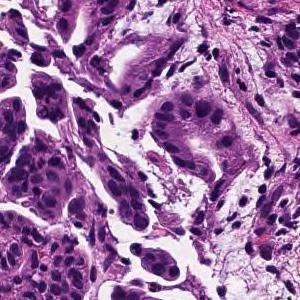
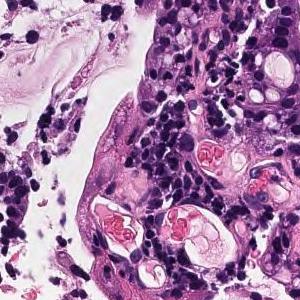
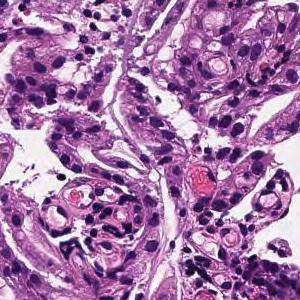
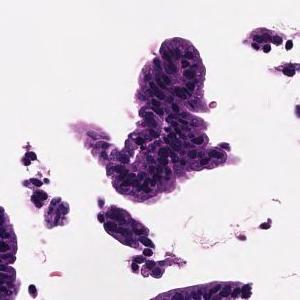
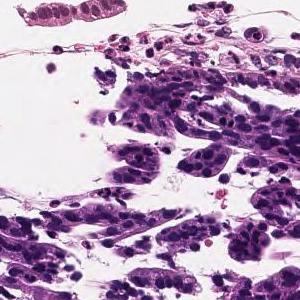
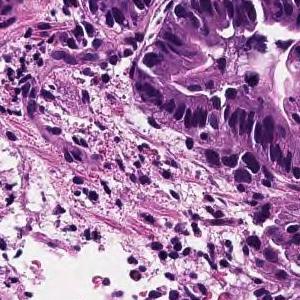
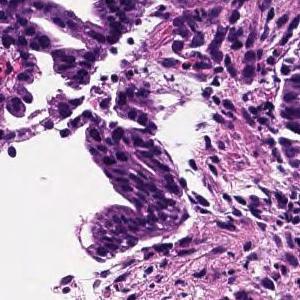
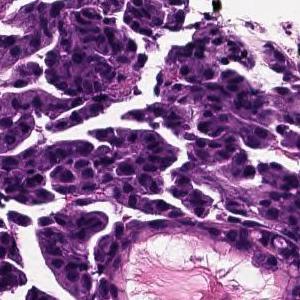
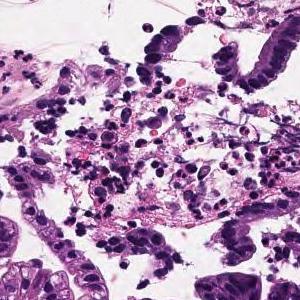
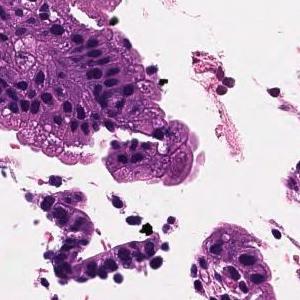
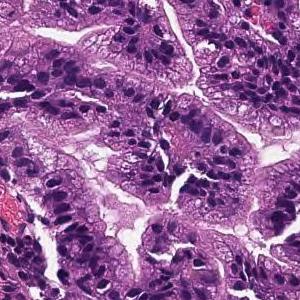
11 tiles from the same stomach biopsy slide, H&E stain.
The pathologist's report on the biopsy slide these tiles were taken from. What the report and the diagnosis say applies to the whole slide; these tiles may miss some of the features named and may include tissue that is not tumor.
On the superficial epithelium, tumor tissue that infiltrates by forming medium-sized papillary or small irregular ducts is observed. Papillary adenocarcinoma
